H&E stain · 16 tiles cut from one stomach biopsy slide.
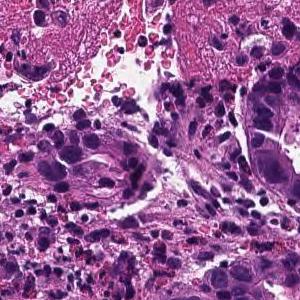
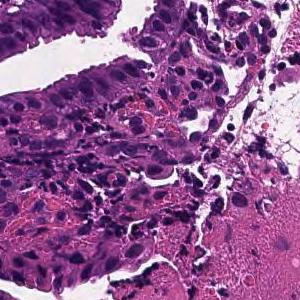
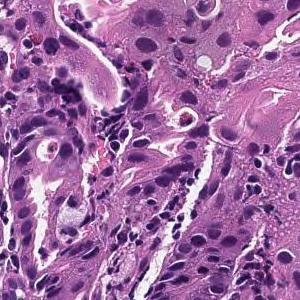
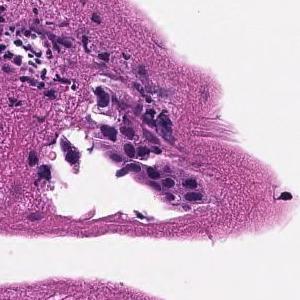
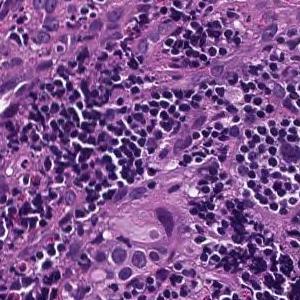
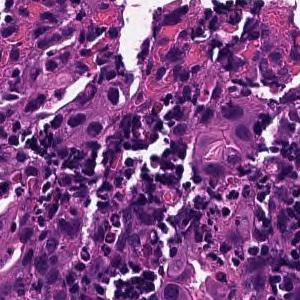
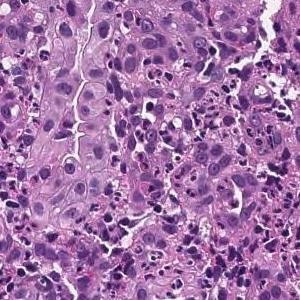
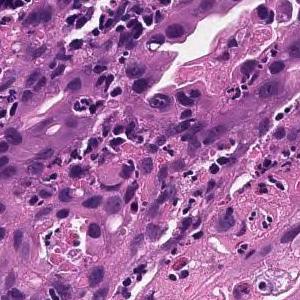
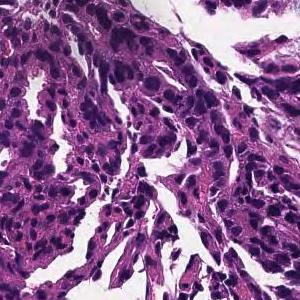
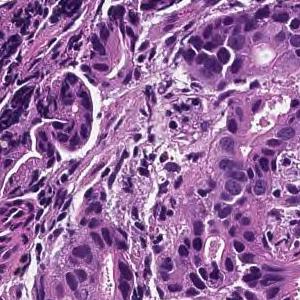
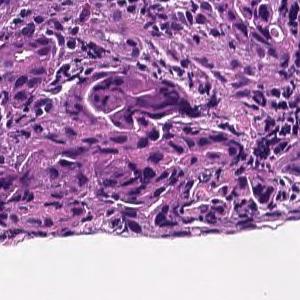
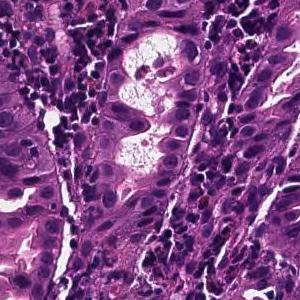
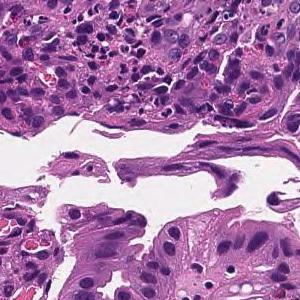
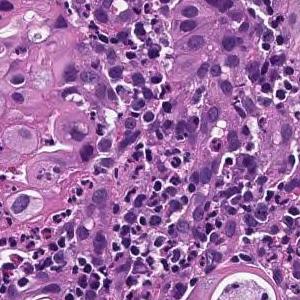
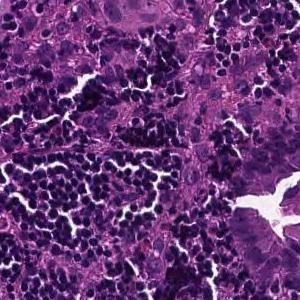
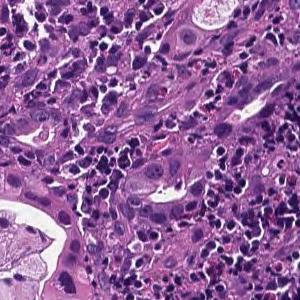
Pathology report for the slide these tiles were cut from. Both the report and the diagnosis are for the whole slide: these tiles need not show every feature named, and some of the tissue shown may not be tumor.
In the superficial epithelium, tumor tissue that invades by forming medium-sized to small, irregular ducts is observed. moderately differentiated tubular adenocarcinoma.
